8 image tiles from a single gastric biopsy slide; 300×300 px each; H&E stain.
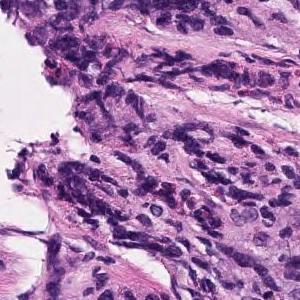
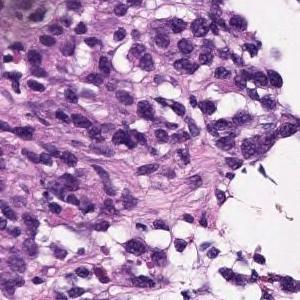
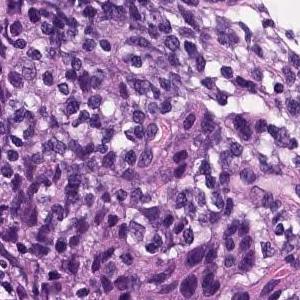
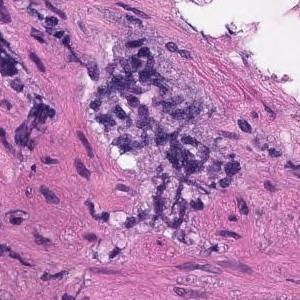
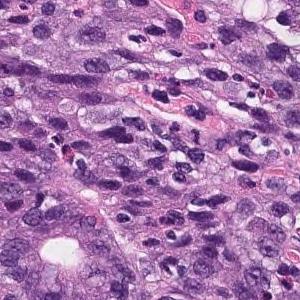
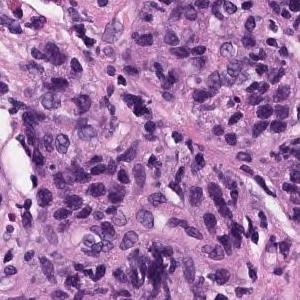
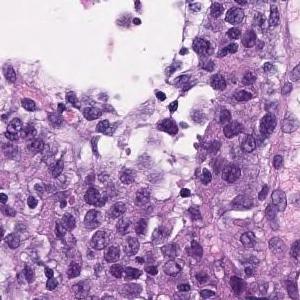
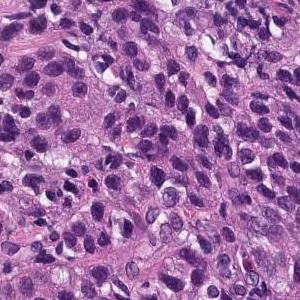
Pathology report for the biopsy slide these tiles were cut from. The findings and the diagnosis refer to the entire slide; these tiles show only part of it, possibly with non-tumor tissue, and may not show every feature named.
In the superficial epithelium, tumor tissue that invades by forming medium-sized to small, irregular ducts is observed. Moderately differentiated adenocarcinoma.
Histological subtype: Moderately differentiated tubular adenocarcinoma.
